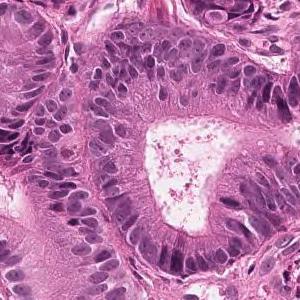
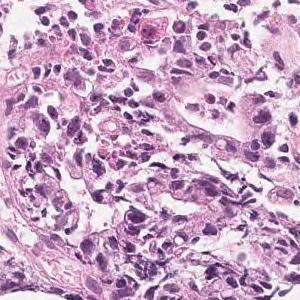
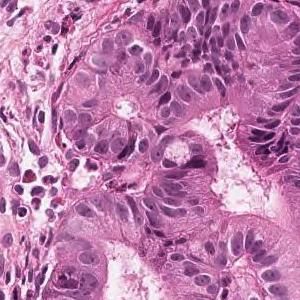
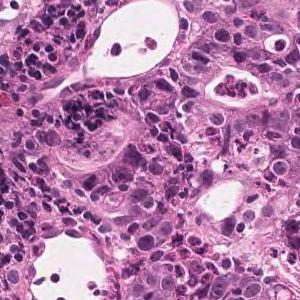
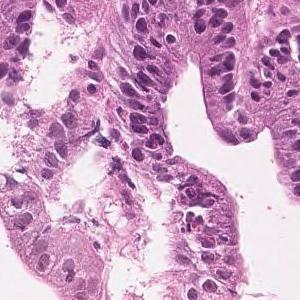
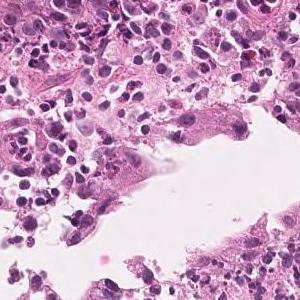
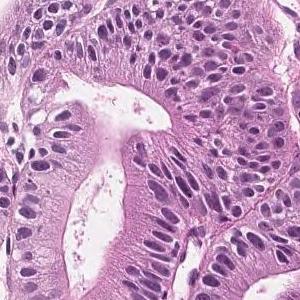
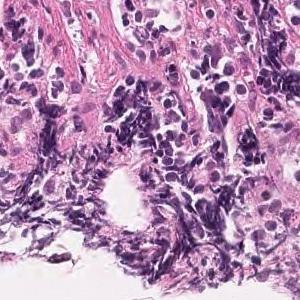
H&E; 8 image tiles from a single gastric biopsy slide; 300 × 300 pixels each.
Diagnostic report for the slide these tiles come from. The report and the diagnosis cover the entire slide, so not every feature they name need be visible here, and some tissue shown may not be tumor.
On the superficial epithelium, tumor tissue consisting of large, irregular glandular ducts partially fused and infiltrated is observed. Well to moderately differentiated tubular adenocarcinoma (well differentiated tubular adenocarcinoma, moderately differentiated tubular adenocarcinoma)
Classified as well to moderately differentiated tubular adenocarcinoma.
